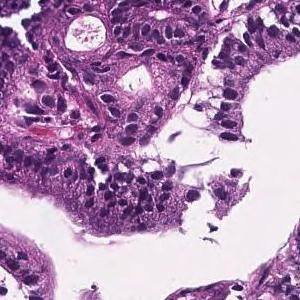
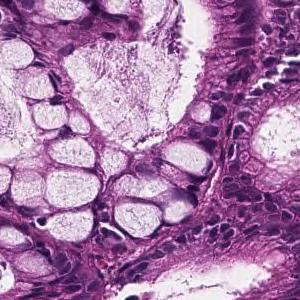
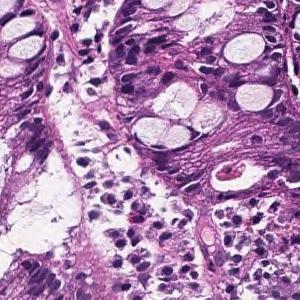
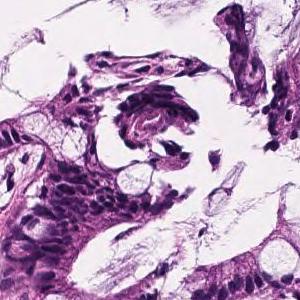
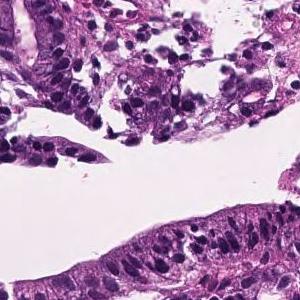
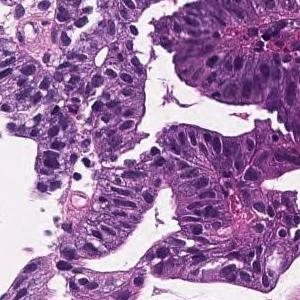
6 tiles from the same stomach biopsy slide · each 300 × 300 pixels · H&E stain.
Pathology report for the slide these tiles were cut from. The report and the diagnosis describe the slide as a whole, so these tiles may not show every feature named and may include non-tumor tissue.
In the superficial epithelium, tumor tissue that invades by forming medium-sized to small, irregular ducts is observed. Well differentiated tubular adenocarcinoma.
